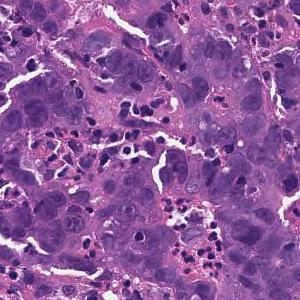
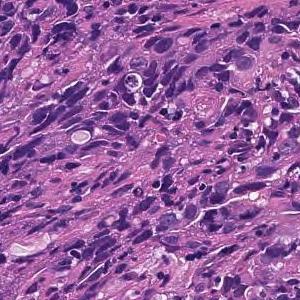
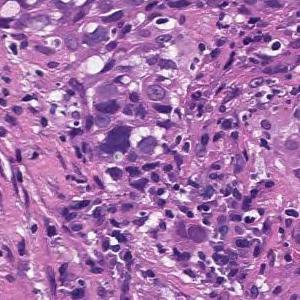
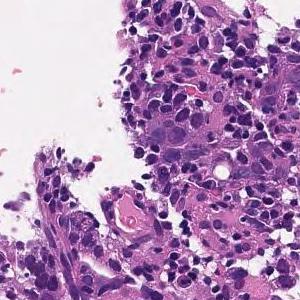
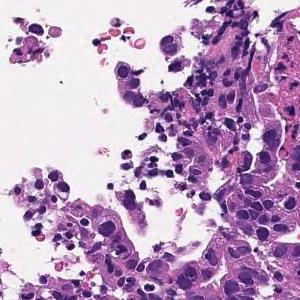
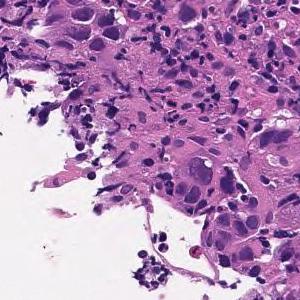
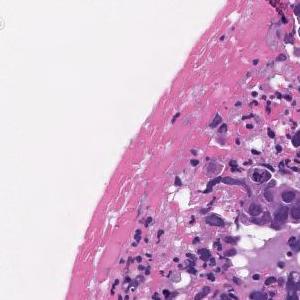
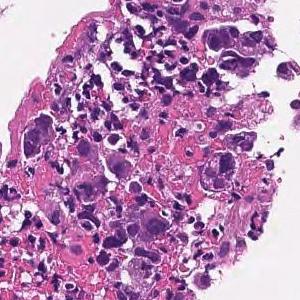
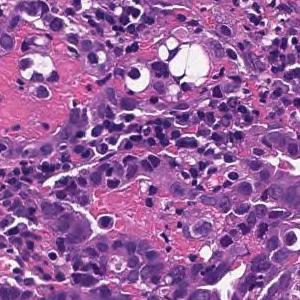
9 patches cut from one gastric biopsy slide, 300×300 px each, ×20.
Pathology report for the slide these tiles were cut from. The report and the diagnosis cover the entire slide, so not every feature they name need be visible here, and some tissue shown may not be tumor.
Tumor tissue consisting of cord-like or small, irregular glandular ducts fused and infiltrated is observed in the superficial epithelium. Poorly differentiated adenocarcinoma, non-solid type
The term "non-solid type" comes from the Japanese Classification of Gastric Carcinoma.
